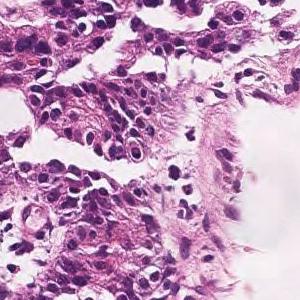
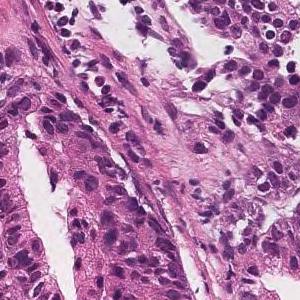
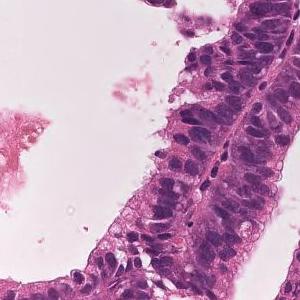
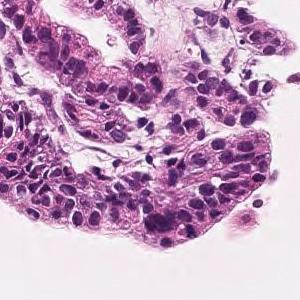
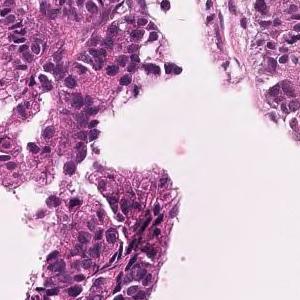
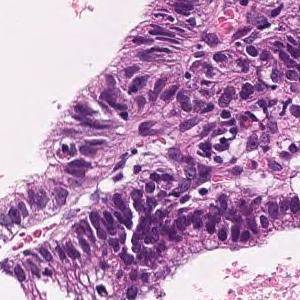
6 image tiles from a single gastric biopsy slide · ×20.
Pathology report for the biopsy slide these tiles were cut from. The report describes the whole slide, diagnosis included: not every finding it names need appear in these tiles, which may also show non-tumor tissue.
On the superficial epithelium, tumor tissue consisting of large, irregular glandular ducts partially fused and infiltrated is observed. Well to moderately differentiated tubular adenocarcinoma (well differentiated tubular adenocarcinoma, moderately differentiated tubular adenocarcinoma)
Histological subtype: Well to moderately differentiated tubular adenocarcinoma.
